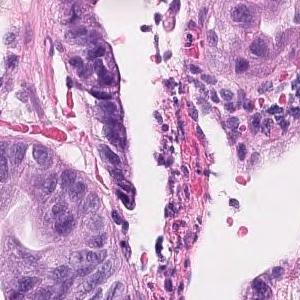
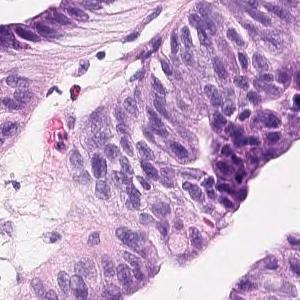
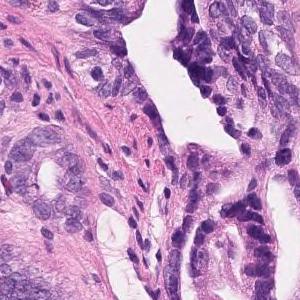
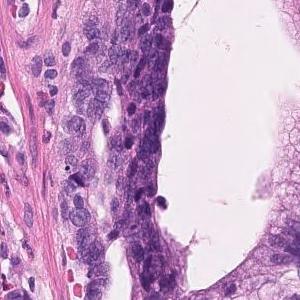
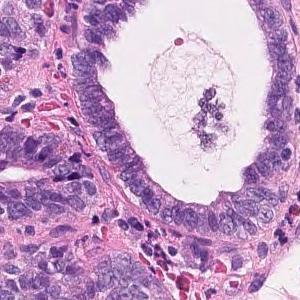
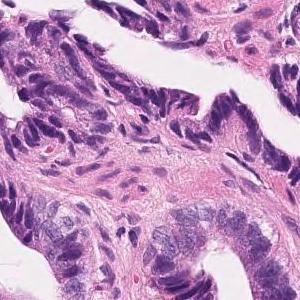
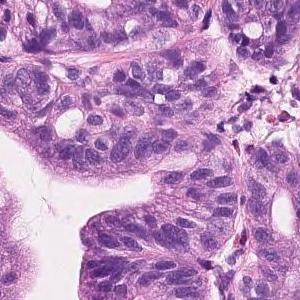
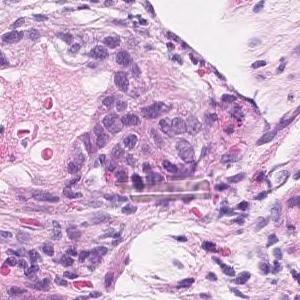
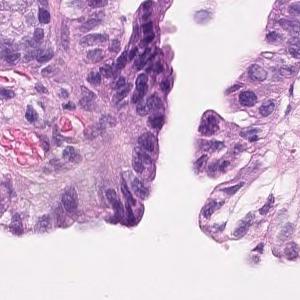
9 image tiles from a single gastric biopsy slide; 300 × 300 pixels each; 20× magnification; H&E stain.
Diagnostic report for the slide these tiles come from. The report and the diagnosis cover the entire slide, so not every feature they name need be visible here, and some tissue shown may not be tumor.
Tumor cells are large, highly columnar, large club-shaped nuclei, and are associated with chromatin aggregation. Papillary adenocarcinoma.
